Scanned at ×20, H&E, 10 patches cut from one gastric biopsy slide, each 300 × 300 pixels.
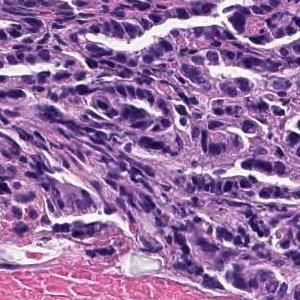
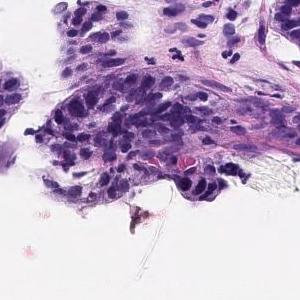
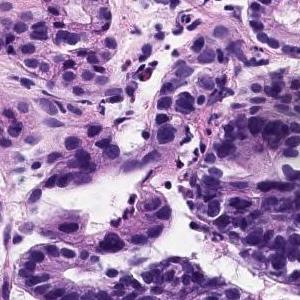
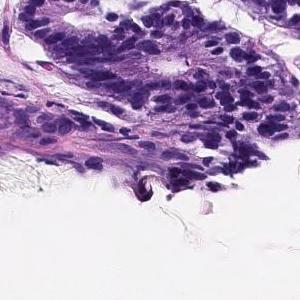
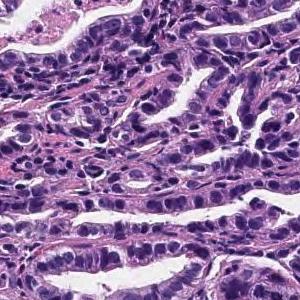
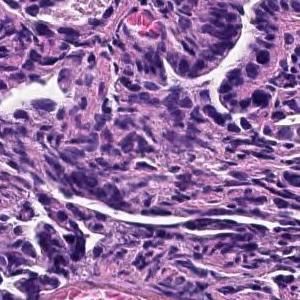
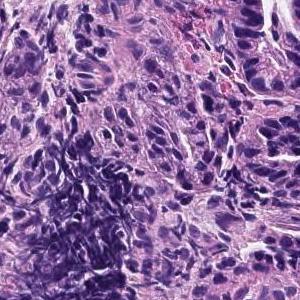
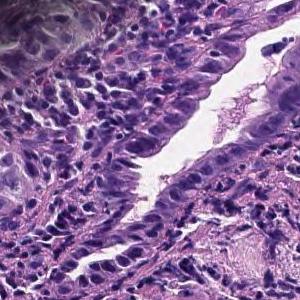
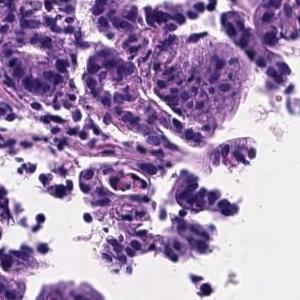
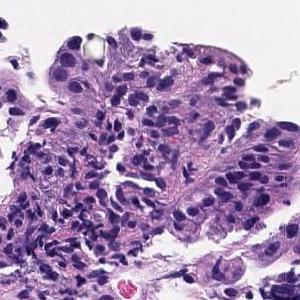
The pathologist's report on the biopsy slide these tiles were taken from. The findings and the diagnosis refer to the entire slide; these tiles show only part of it, possibly with non-tumor tissue, and may not show every feature named.
The superficial tumors shows large papillary structures or large and small ducts and infiltrates. Papillary adenocarcinoma.
